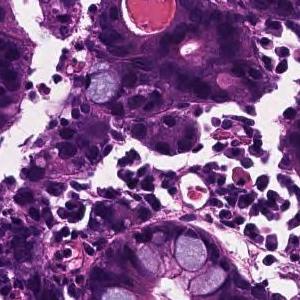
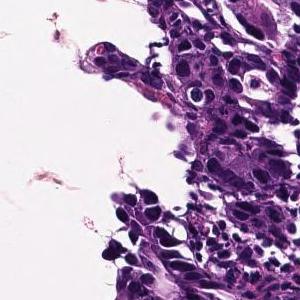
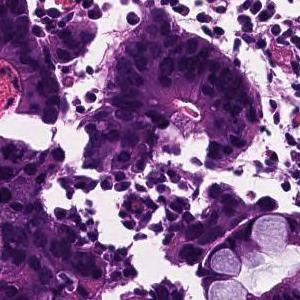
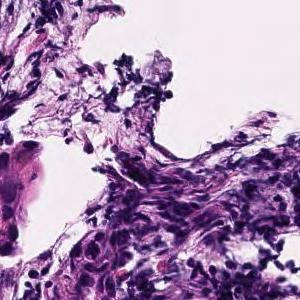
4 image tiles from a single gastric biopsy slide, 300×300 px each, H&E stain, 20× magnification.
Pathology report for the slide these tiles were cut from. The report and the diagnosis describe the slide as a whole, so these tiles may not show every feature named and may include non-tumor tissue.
From the superficial epithelium to the muscularis mucosae, tumor tissue infiltrating by forming medium-sized irregular gland ducts is observed. Large tumor cells exhibit large nucleus and hyperchromatism. Well differentiated tubular adenocarcinoma
